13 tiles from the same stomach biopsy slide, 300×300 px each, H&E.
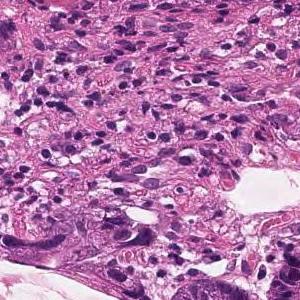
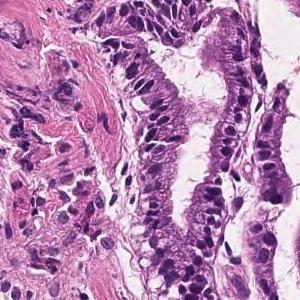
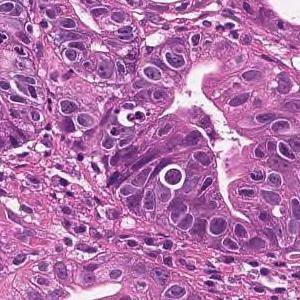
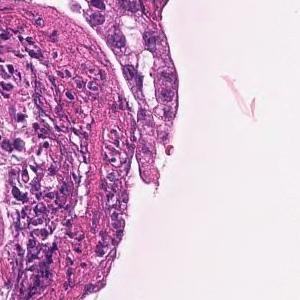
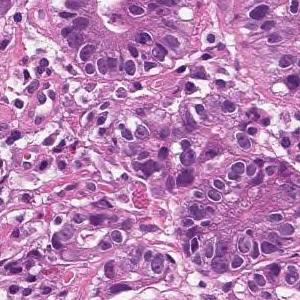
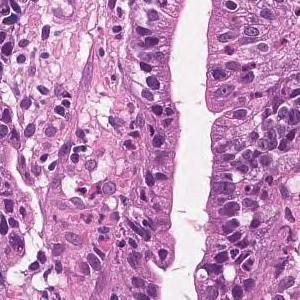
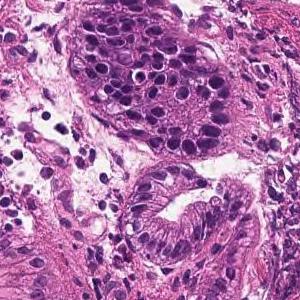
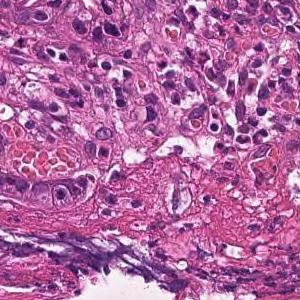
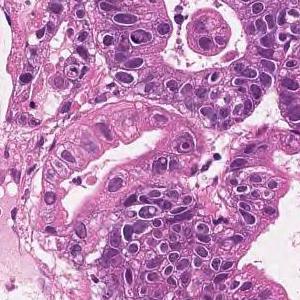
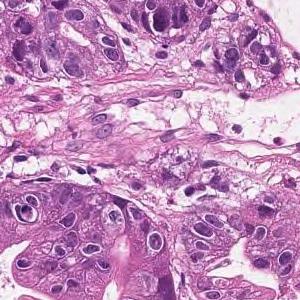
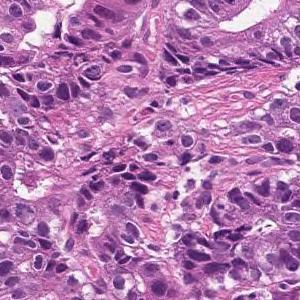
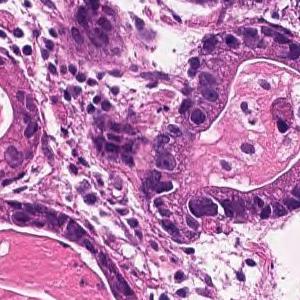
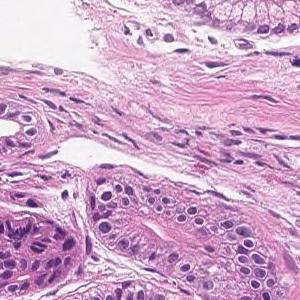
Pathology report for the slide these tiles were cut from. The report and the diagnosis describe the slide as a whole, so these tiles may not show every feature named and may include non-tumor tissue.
In the superficial epithelium, tumor tissue that invades by forming medium-sized to small, irregular ducts is observed. Well differentiated tubular adenocarcinoma.
